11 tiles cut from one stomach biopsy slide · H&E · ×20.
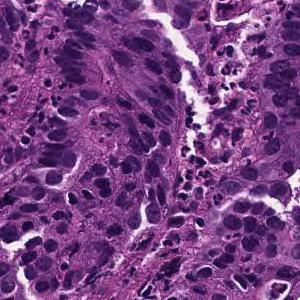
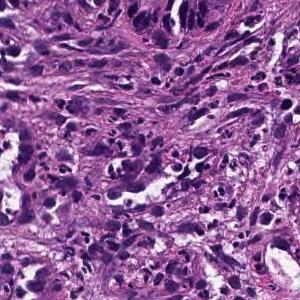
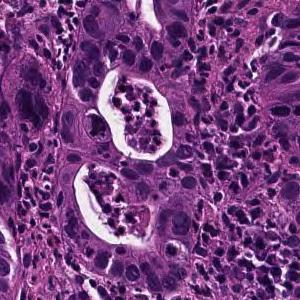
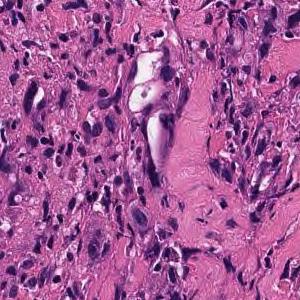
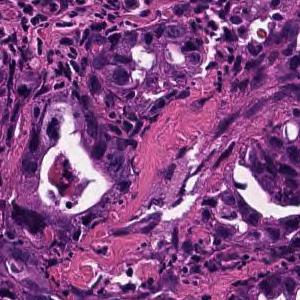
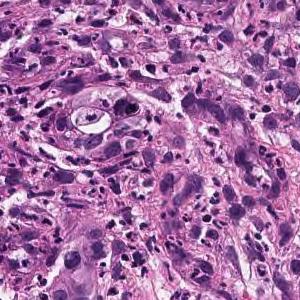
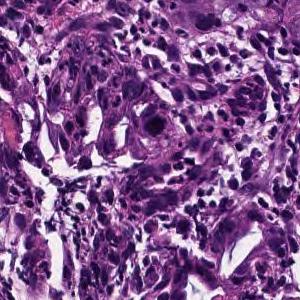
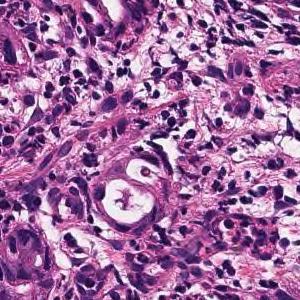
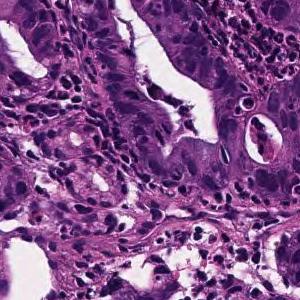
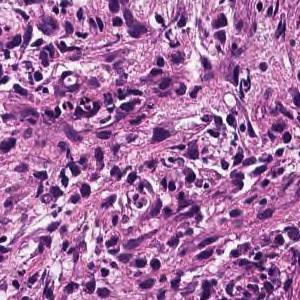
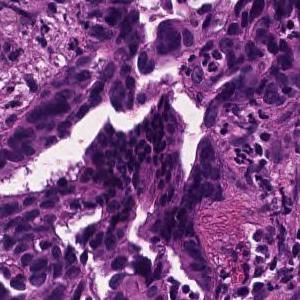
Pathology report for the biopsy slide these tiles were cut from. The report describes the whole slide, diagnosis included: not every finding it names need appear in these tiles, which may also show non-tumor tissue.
In the superficial epithelium, medium-sized to small irregular glandular ducts are formed, and in some cases, the glandular ducts are fused or small cord-like infiltrating tumor tissue is observed. moderately differentiated tubular adenocarcinoma
